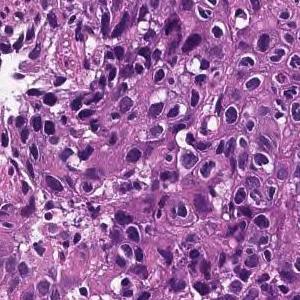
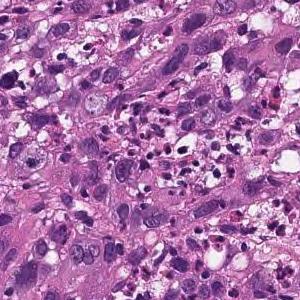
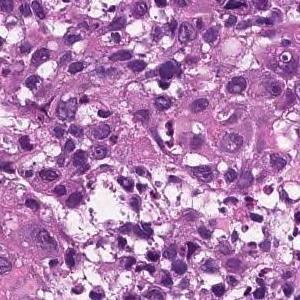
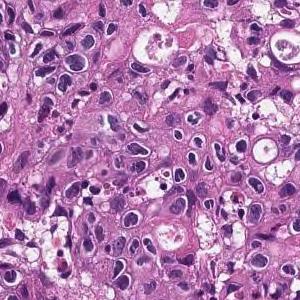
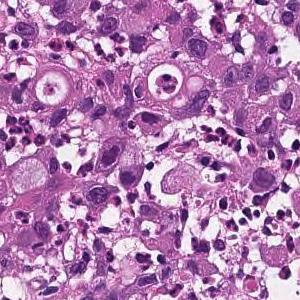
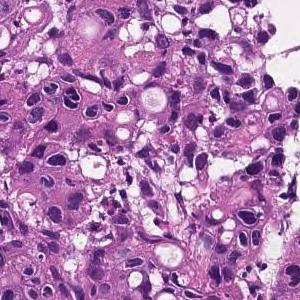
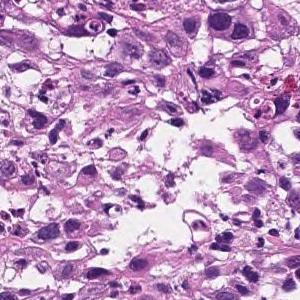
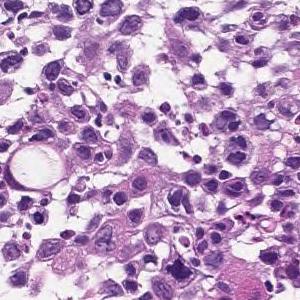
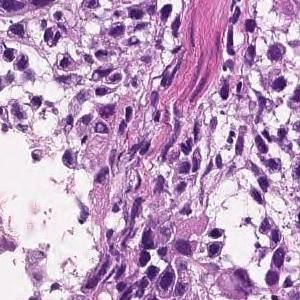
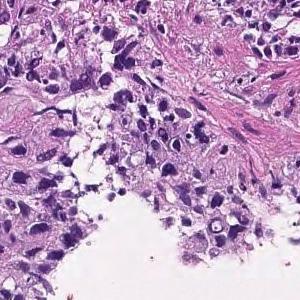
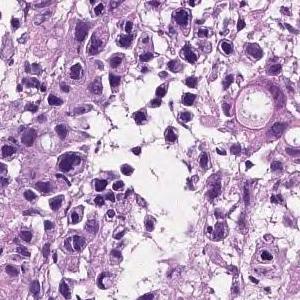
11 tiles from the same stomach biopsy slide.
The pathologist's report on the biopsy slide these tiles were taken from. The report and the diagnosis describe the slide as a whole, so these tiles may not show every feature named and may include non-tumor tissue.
The superficial epithelium shows a large sheet-like shape, and some tumor tissue infiltrates with small irregular ducts. Poorly differentiated adenocarcinoma, solid-type
Subtype: Poorly differentiated adenocarcinoma, solid type. This name comes from the Japanese Classification of Gastric Carcinoma; the WHO 2019 classification calls it tubular adenocarcinoma, poorly differentiated.
